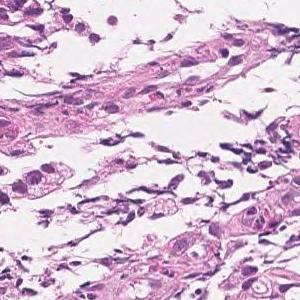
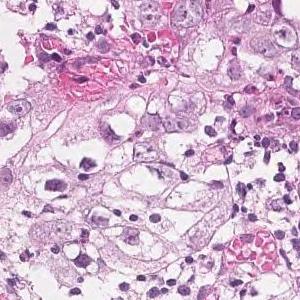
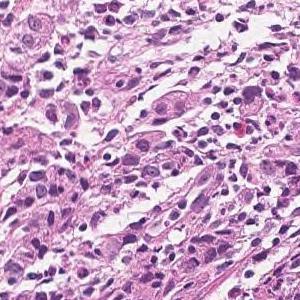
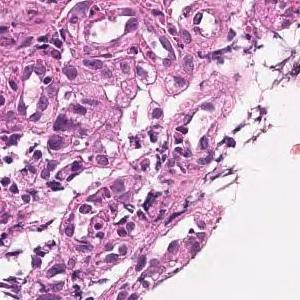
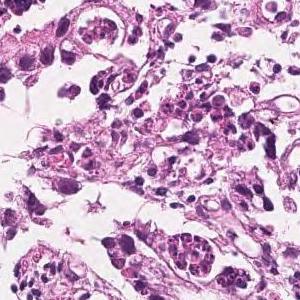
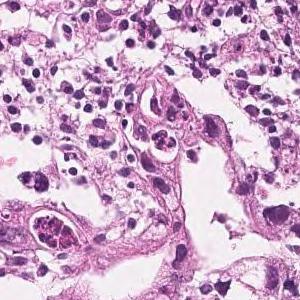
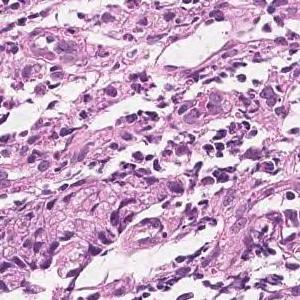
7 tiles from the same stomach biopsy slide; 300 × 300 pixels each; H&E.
Diagnostic report for the slide these tiles come from. What the report and the diagnosis say applies to the whole slide; these tiles may miss some of the features named and may include tissue that is not tumor.
In the superficial epithelium, medium to small, irregular glandular ducts are formed, and in some parts, the glandular ducts are fused, and in other parts, small cord-like infiltrating tumor tissue is observed. Moderately to poorly differentiated adenocarcinoma.
